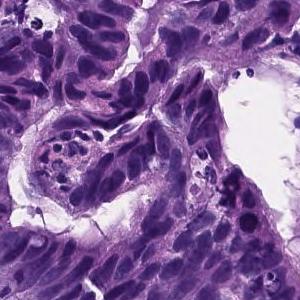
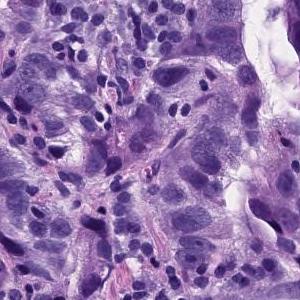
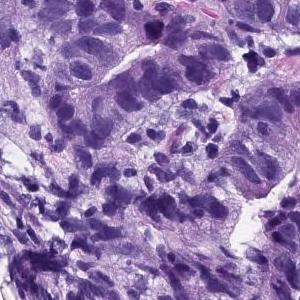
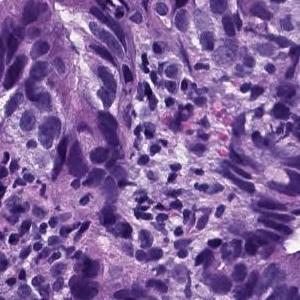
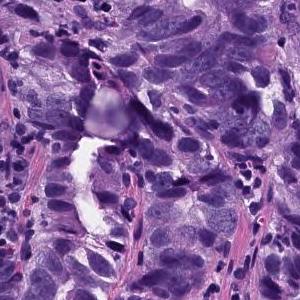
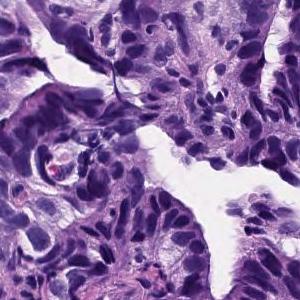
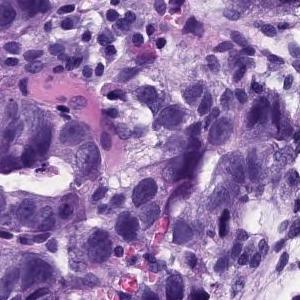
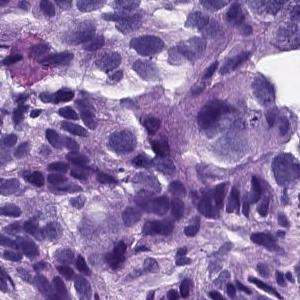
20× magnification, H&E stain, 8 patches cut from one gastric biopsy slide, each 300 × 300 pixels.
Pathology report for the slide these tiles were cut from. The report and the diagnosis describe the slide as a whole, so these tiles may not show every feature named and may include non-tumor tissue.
In the superficial epithelium, tumor tissue that invades by forming medium-sized to small, irregular ducts is observed. Moderately differentiated adenocarcinoma.
Histologic type: Moderately differentiated tubular adenocarcinoma.
